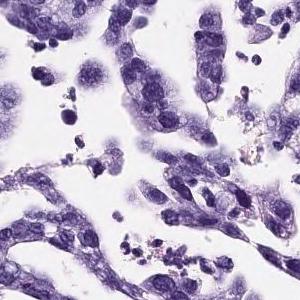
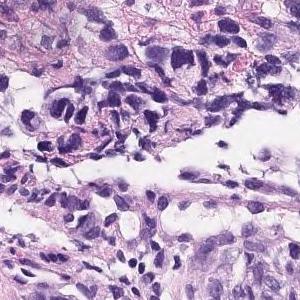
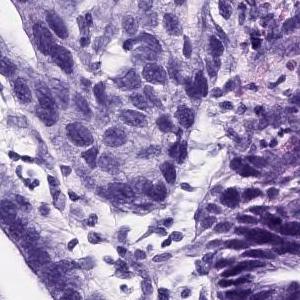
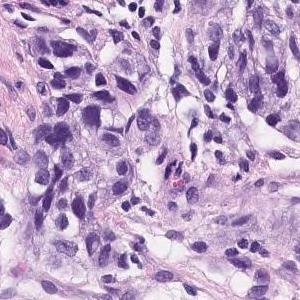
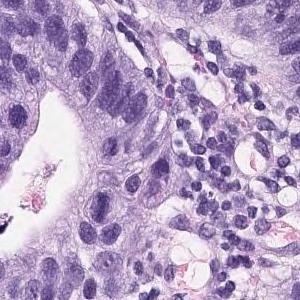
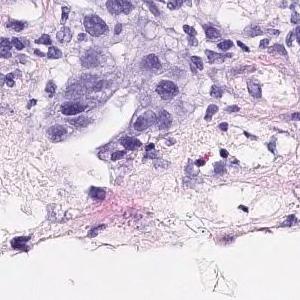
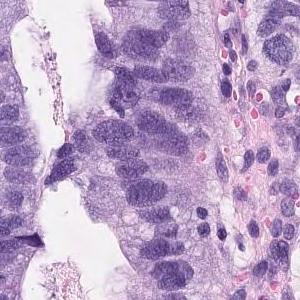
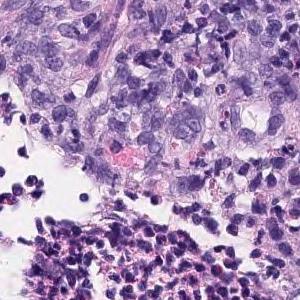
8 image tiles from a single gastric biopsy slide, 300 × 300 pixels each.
The pathologist's report on the biopsy slide these tiles were taken from. The findings and the diagnosis refer to the entire slide; these tiles show only part of it, possibly with non-tumor tissue, and may not show every feature named.
On the superficial epithelium, tumor tissue consisting of medium to small irregular tubules partially fused and proliferated is observed. moderately differentiated tubular adenocarcinoma
